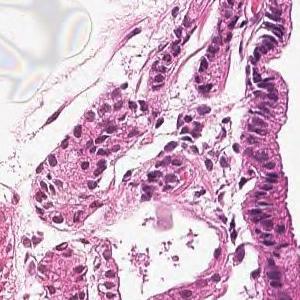
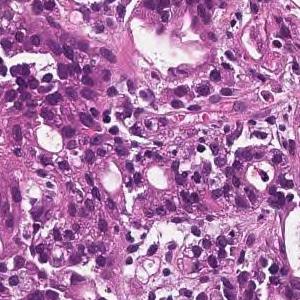
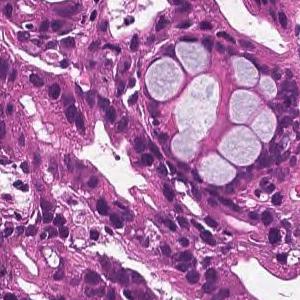
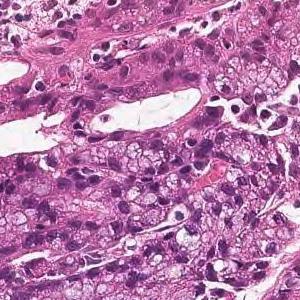
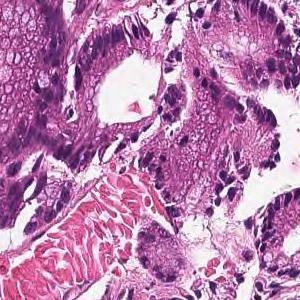
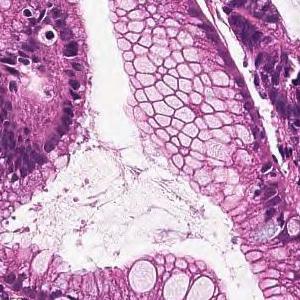
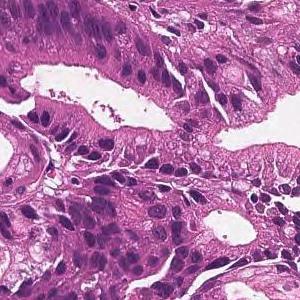
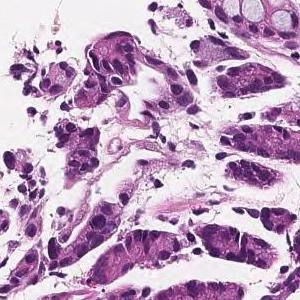
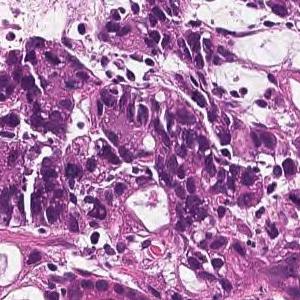
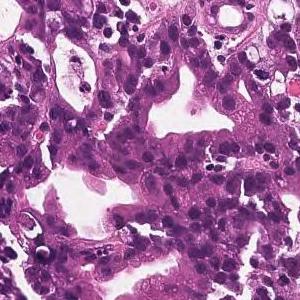
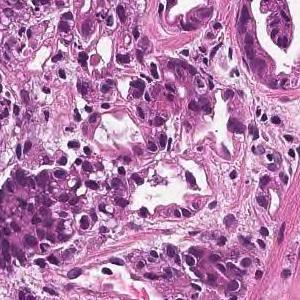
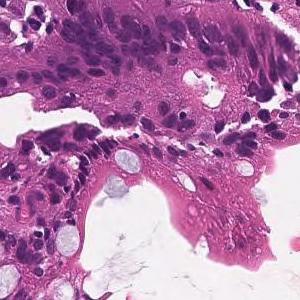
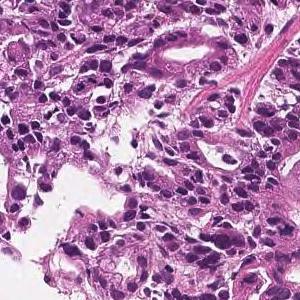
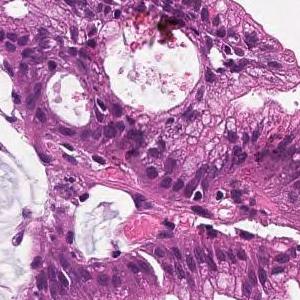
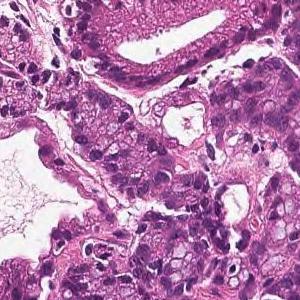
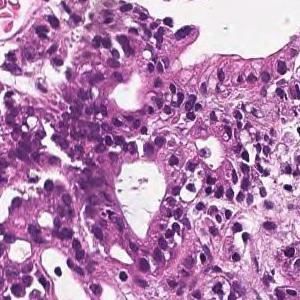
×20; H&E; 16 tiles from the same stomach biopsy slide; 300 × 300 pixels each.
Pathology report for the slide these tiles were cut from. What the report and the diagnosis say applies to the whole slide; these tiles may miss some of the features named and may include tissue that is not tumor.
In the superficial epithelium, tumor tissue that invades by forming medium-sized to small, irregular ducts is observed. moderately differentiated tubular adenocarcinoma.
